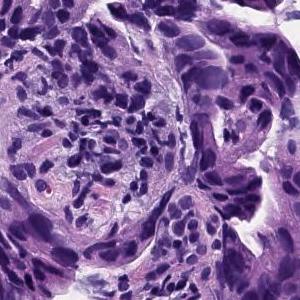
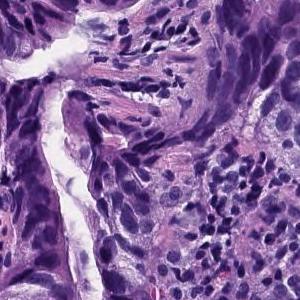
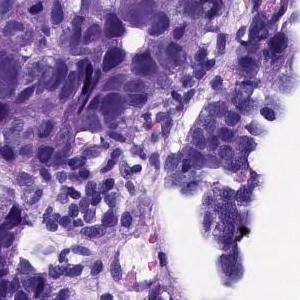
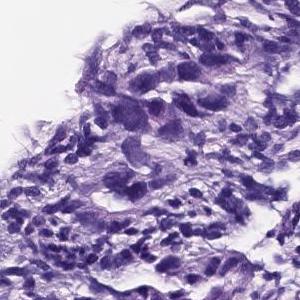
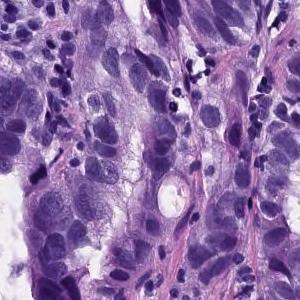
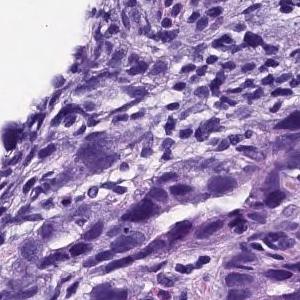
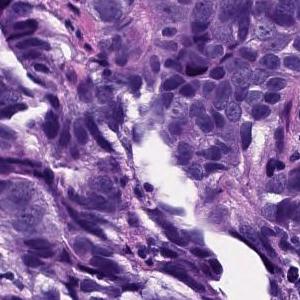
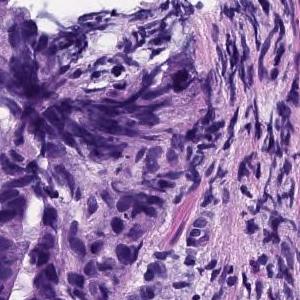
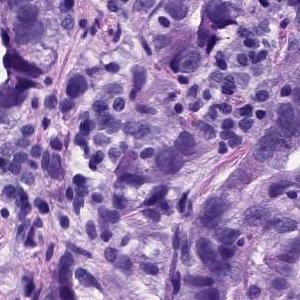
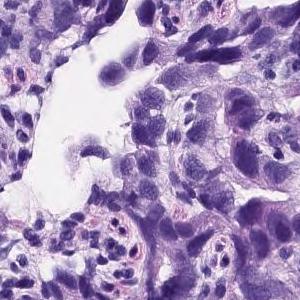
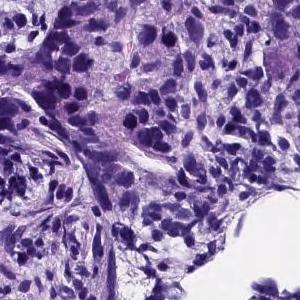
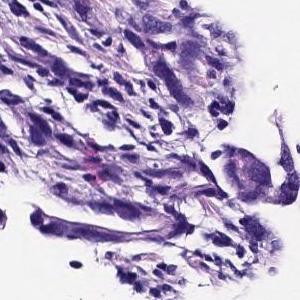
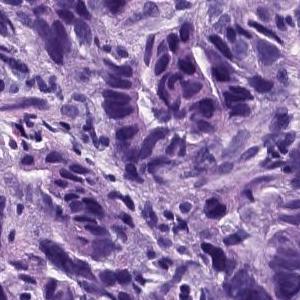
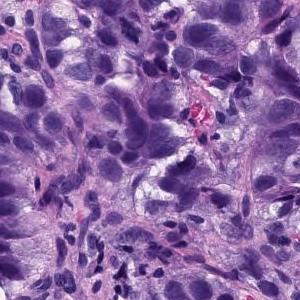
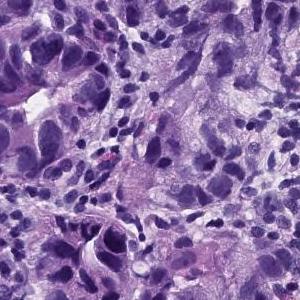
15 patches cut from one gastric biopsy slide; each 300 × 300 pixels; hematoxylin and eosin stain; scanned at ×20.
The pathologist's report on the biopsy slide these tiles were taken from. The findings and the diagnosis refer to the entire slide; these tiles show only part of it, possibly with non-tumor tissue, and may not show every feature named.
In the superficial epithelium, tumor tissue that invades by forming medium-sized to small, irregular ducts is observed. Moderately differentiated adenocarcinoma.
Classified as moderately differentiated tubular adenocarcinoma.
